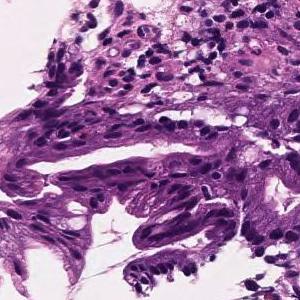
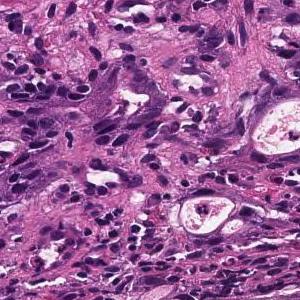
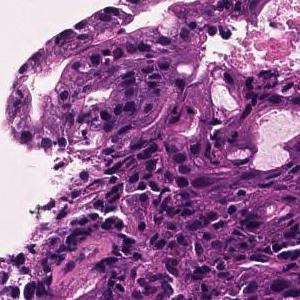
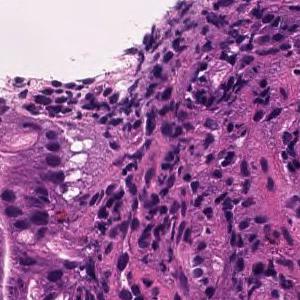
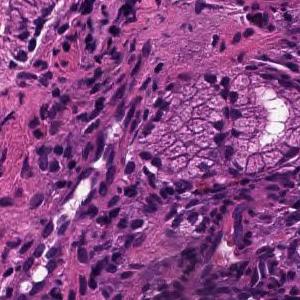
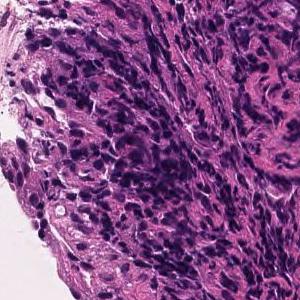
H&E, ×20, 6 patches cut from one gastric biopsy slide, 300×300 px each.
Report on the slide these tiles come from. The report and the diagnosis describe the slide as a whole, so these tiles may not show every feature named and may include non-tumor tissue.
In the superficial epithelium, tumor tissue that invades by forming medium-sized to small, irregular ducts is observed. moderately differentiated tubular adenocarcinoma.
